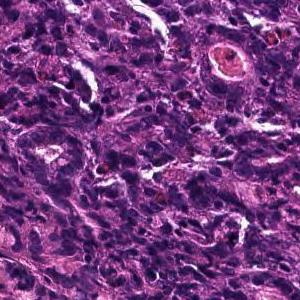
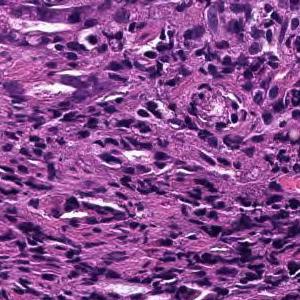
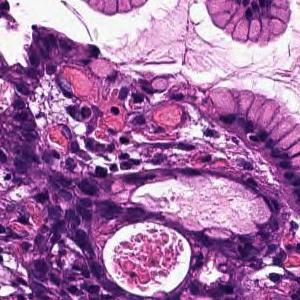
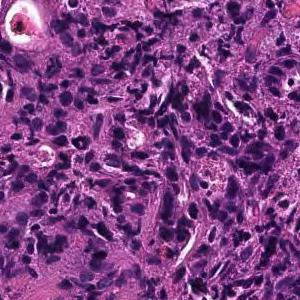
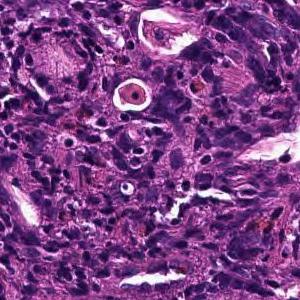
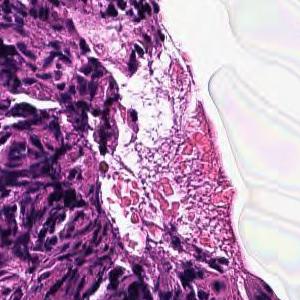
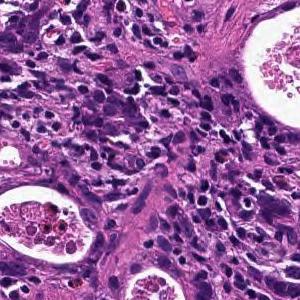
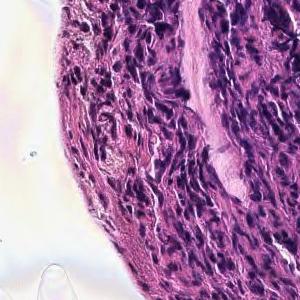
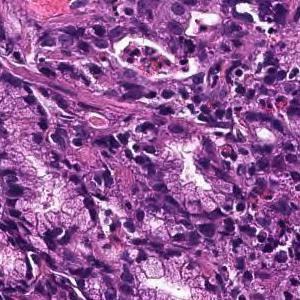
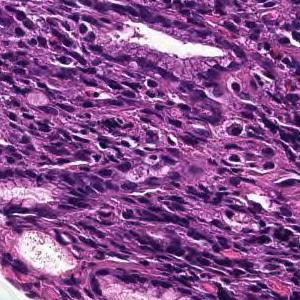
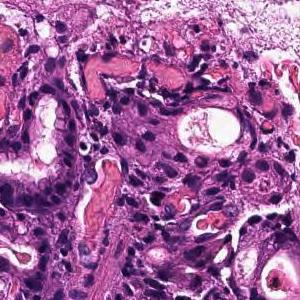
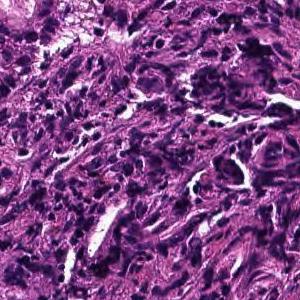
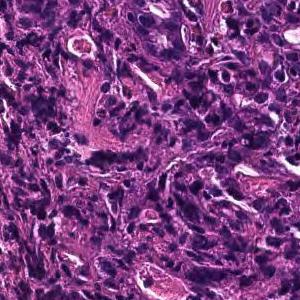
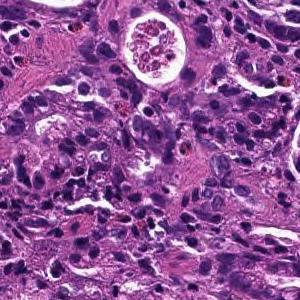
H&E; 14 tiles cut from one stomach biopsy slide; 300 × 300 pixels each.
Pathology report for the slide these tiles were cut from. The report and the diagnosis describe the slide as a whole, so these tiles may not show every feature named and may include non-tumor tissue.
In the superficial epithelium, tumor tissue that invades by forming medium-sized to small, irregular ducts is observed. moderately differentiated tubular adenocarcinoma.
